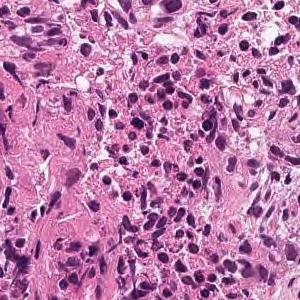
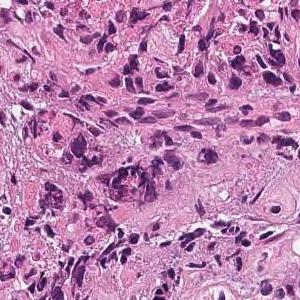
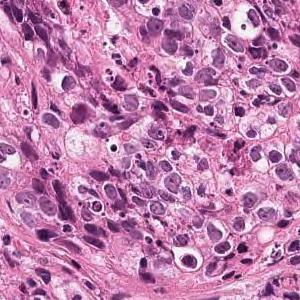
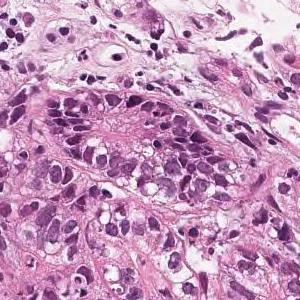
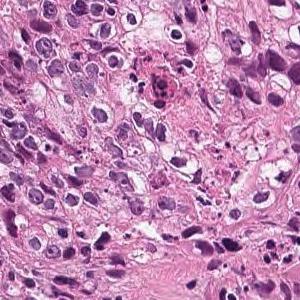
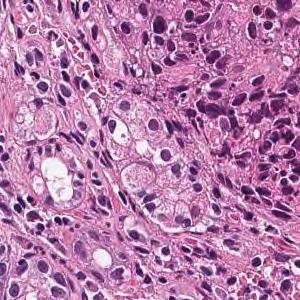
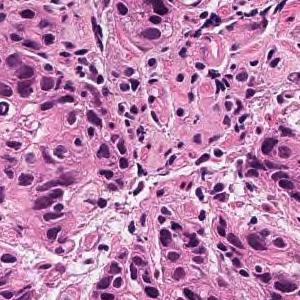
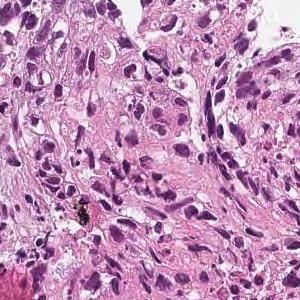
8 image tiles from a single gastric biopsy slide; each 300 × 300 pixels.
Report on the slide these tiles come from. The report and the diagnosis describe the slide as a whole, so these tiles may not show every feature named and may include non-tumor tissue.
Medium to small, irregular glandular ducts are formed in the superficial epithelium, and in some cases, the glandular ducts are fused to show solid alveolar lesions and infiltrating tumor tissue is observed. Moderately to poorly differentiated adenocarcinoma.
